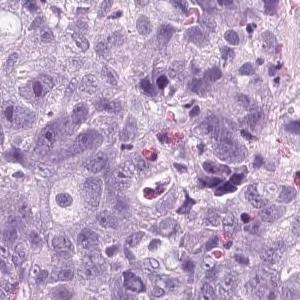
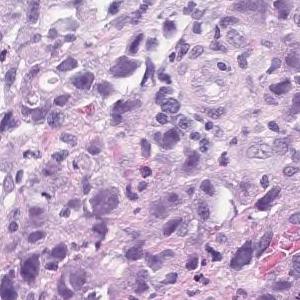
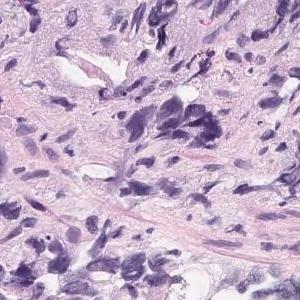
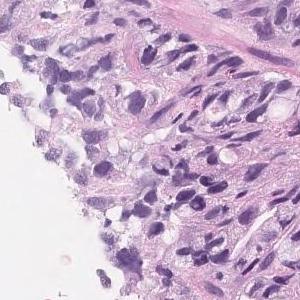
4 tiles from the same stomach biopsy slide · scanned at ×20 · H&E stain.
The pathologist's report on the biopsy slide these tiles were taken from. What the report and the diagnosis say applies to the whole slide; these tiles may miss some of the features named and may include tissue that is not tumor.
Tumor tissue that infiltrates and proliferates by forming small glandular cavities in the superficial layer to the submucosa or forming a mass is observed. moderately differentiated tubular adenocarcinoma
